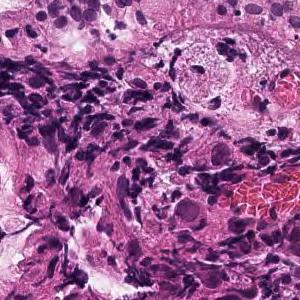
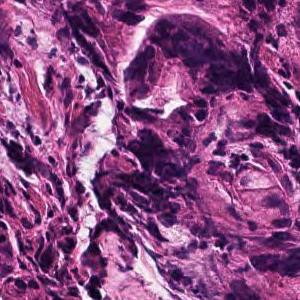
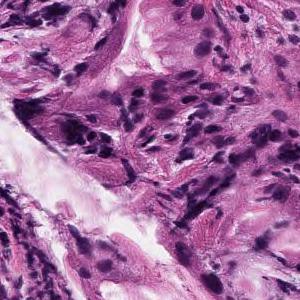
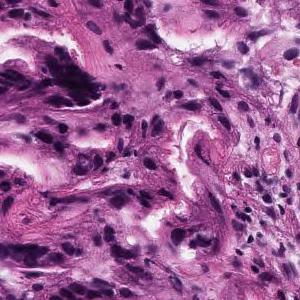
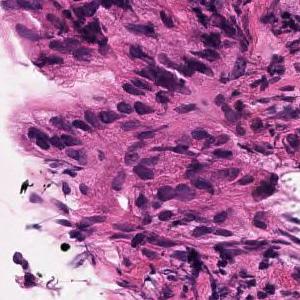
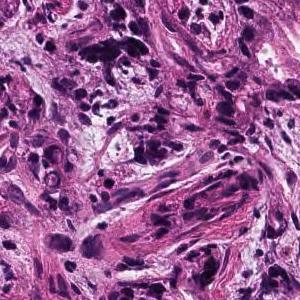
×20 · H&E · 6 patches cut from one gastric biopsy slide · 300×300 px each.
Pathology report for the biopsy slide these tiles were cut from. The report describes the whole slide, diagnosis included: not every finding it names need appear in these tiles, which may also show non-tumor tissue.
Proliferation of small, irregular tubular glandular ducts with fusion is seen just above the muscularis mucosae in the lamina propria. moderately differentiated tubular adenocarcinoma
